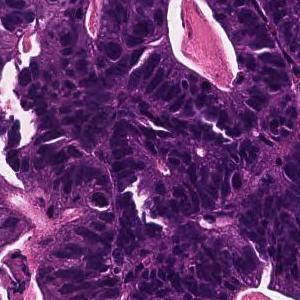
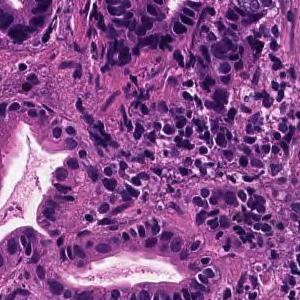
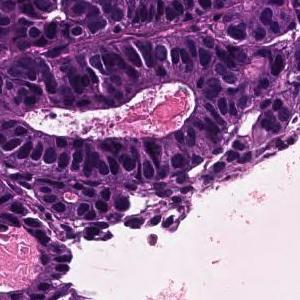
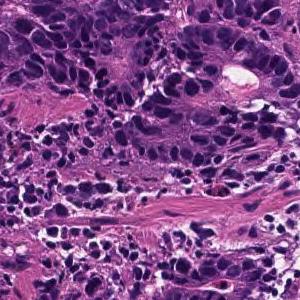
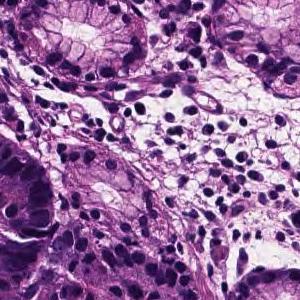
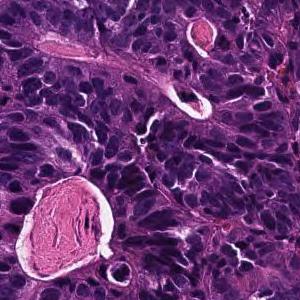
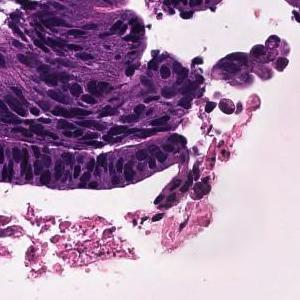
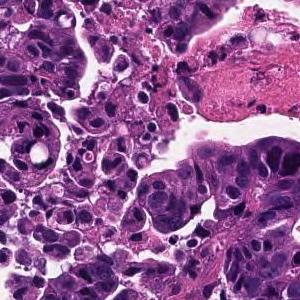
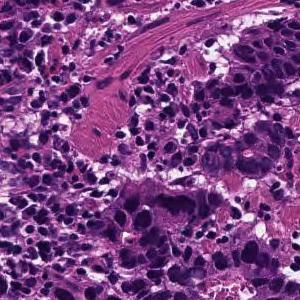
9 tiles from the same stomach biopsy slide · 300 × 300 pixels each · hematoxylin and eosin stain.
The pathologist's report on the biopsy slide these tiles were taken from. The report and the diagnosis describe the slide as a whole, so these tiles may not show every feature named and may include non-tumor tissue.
In the superficial epithelium, tumor tissue that invades by forming medium-sized to small, irregular ducts is observed. moderately differentiated tubular adenocarcinoma.
